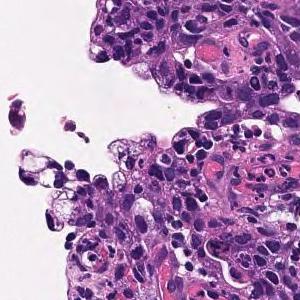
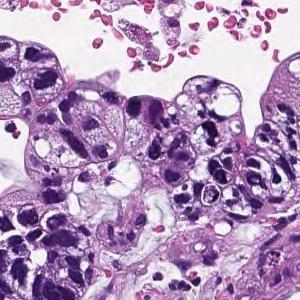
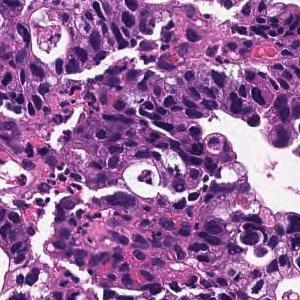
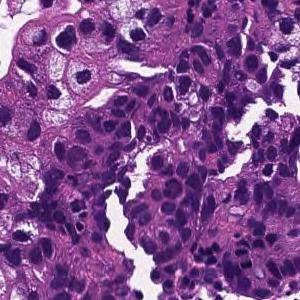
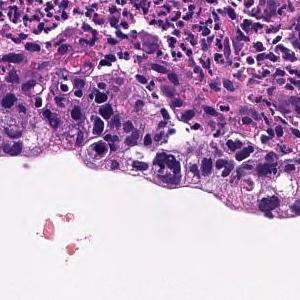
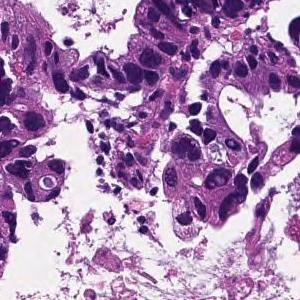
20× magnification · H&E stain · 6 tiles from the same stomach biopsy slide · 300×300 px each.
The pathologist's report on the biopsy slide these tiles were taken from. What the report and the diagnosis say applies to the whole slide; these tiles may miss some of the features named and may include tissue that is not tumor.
In the superficial epithelium, tumor tissue that invades by forming medium-sized to small, irregular ducts is observed. moderately differentiated tubular adenocarcinoma.
